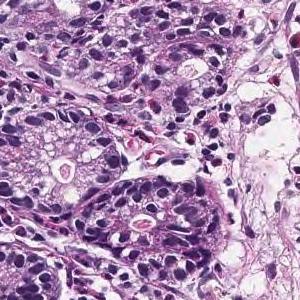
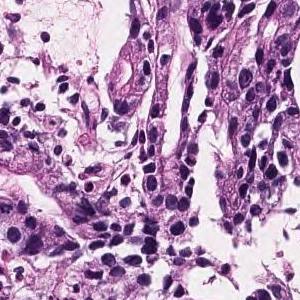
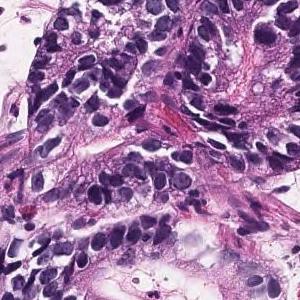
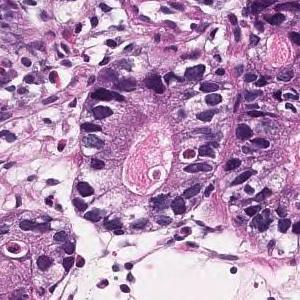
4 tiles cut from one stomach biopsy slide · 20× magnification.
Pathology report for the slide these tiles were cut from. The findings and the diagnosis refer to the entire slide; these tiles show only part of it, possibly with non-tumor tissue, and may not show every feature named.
Tumor tissue consisting of medium-sized and irregular ducts is observed infiltrating in the superficial epithelium. Tumor cells are highly columnar, with nuclei aligned basolaterally and polarized. Well differentiated tubular adenocarcinoma.
